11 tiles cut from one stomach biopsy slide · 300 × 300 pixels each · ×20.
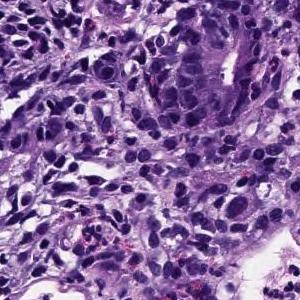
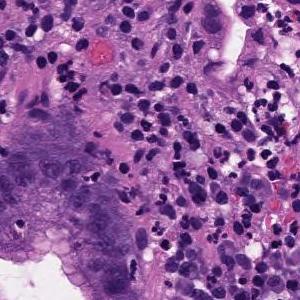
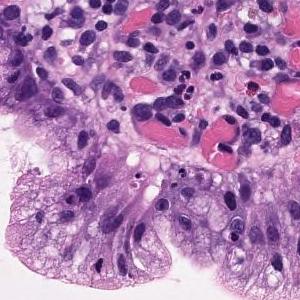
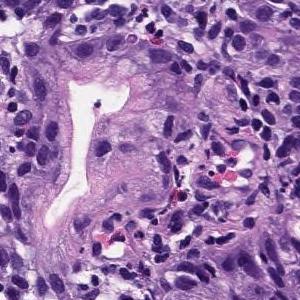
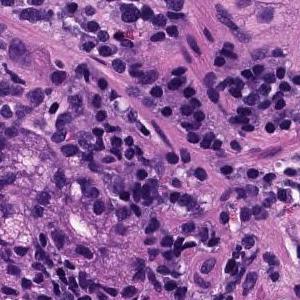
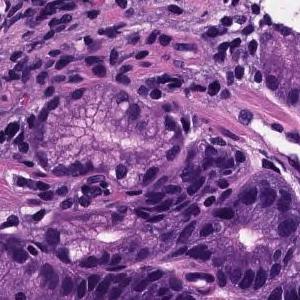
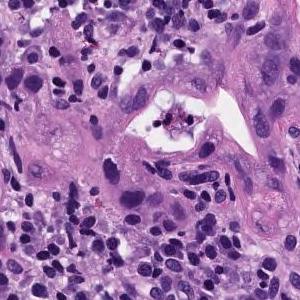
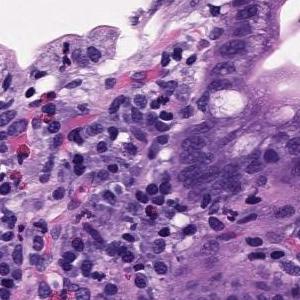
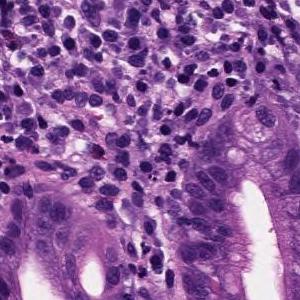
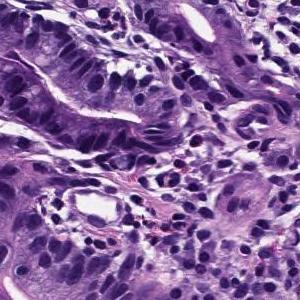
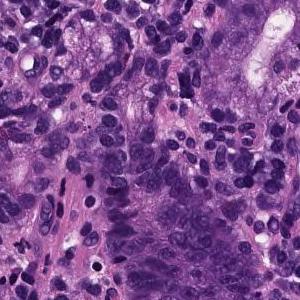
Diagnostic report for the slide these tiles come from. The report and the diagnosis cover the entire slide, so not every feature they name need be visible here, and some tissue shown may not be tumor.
Medium to small, irregular glandular ducts are formed in the superficial epithelium, and in some cases, the glandular ducts are fused to show solid alveolar lesions and infiltrating tumor tissue is observed. Moderately to poorly differentiated adenocarcinoma.
